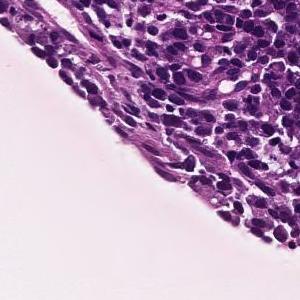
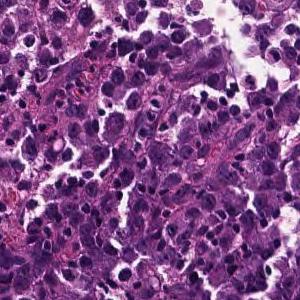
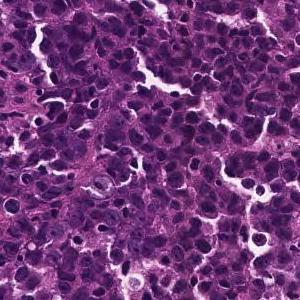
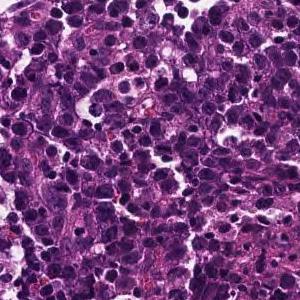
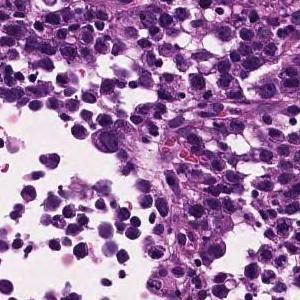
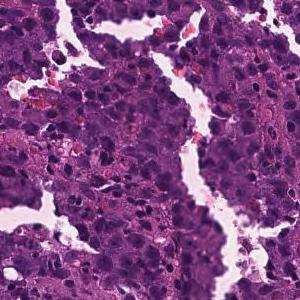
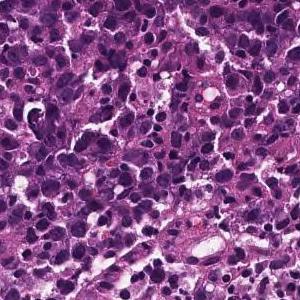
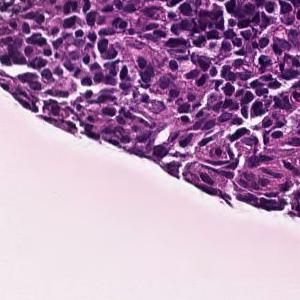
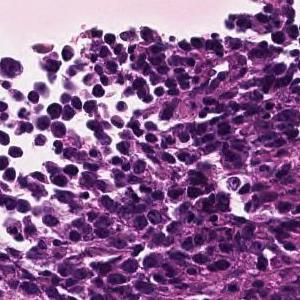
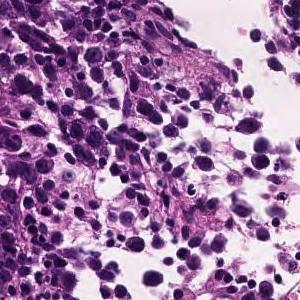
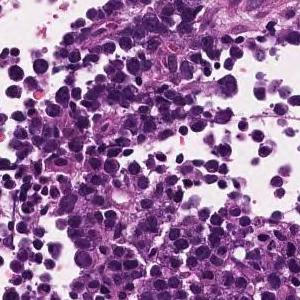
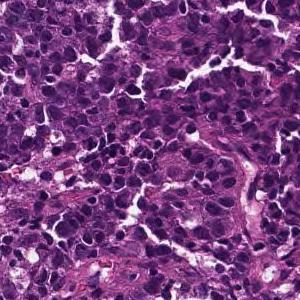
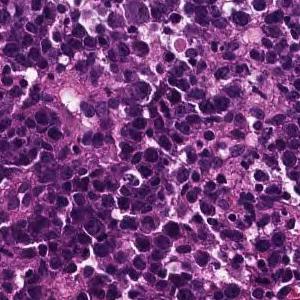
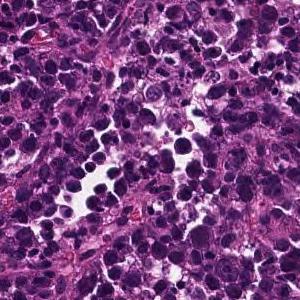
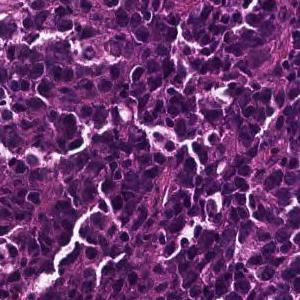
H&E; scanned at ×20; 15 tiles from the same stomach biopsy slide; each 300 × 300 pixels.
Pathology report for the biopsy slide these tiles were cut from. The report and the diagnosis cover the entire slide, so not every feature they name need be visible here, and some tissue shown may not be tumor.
The superficial epithelium shows a large sheet-like shape, and some tumor tissue infiltrates with small irregular ducts. Poorly differentiated adenocarcinoma, solid-type
Histological subtype: Poorly differentiated adenocarcinoma, solid type, a category of the Japanese Classification of Gastric Carcinoma; in the WHO 2019 classification it is tubular adenocarcinoma, poorly differentiated.
